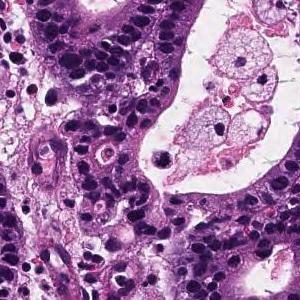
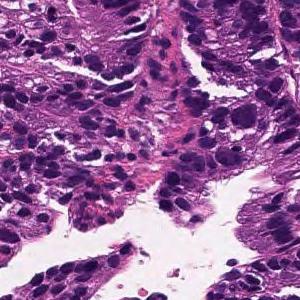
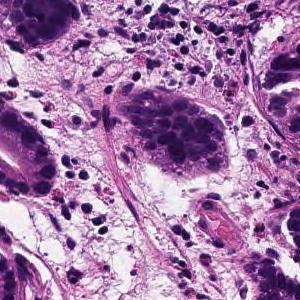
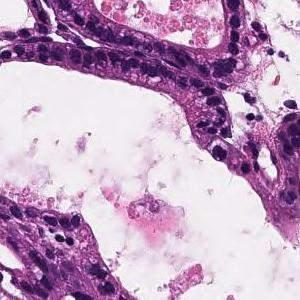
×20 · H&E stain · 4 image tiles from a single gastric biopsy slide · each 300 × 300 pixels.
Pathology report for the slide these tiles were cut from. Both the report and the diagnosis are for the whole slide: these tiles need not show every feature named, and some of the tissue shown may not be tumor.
From the superficial epithelium to the muscularis mucosae, tumor tissue consisting of medium-sized and irregular glandular ducts infiltrating is observed. Well differentiated tubular adenocarcinoma
